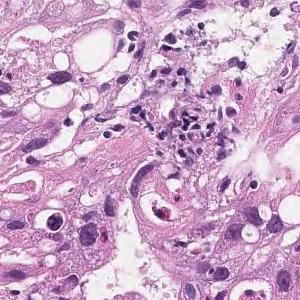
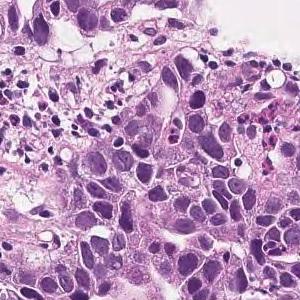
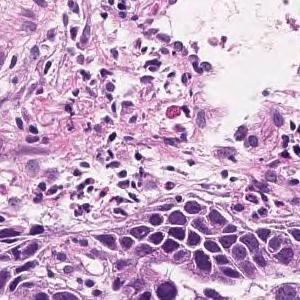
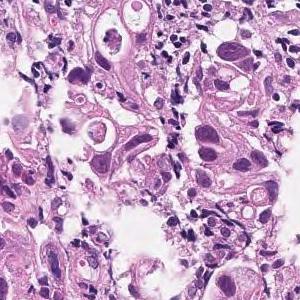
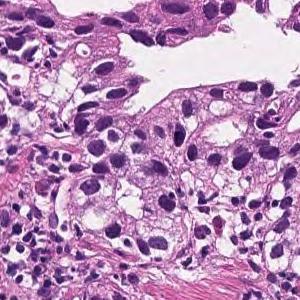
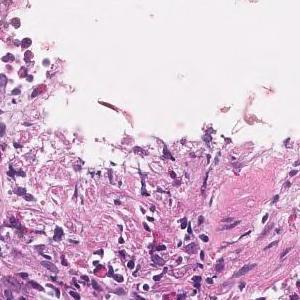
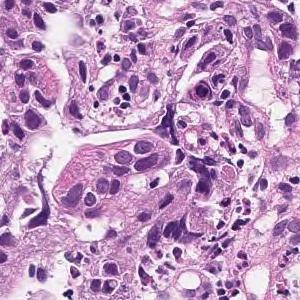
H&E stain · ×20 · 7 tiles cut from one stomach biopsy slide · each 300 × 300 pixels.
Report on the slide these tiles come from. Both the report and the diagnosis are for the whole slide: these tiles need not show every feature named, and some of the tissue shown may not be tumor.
In the superficial epithelium, tumor tissue that invades by forming medium-sized to small, irregular ducts is observed. moderately differentiated tubular adenocarcinoma.
